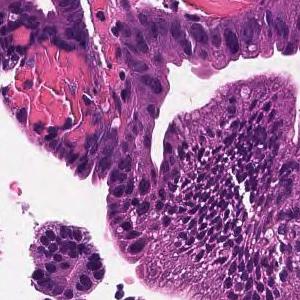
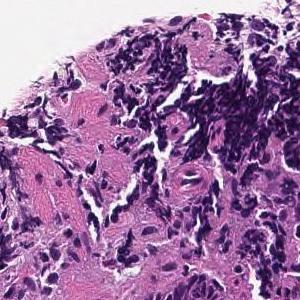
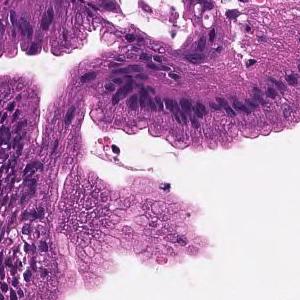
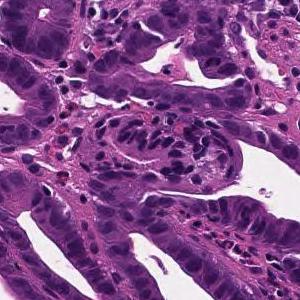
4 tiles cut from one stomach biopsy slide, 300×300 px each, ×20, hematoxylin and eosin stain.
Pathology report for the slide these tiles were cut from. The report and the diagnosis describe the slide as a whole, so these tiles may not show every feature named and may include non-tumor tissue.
From the superficial epithelium to the muscularis mucosae, tumor tissue consisting of medium-sized and irregular glandular ducts infiltrating is observed. Well differentiated tubular adenocarcinoma
